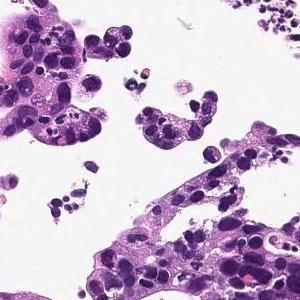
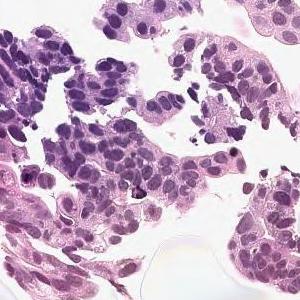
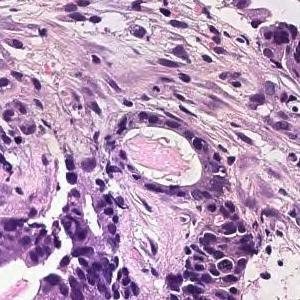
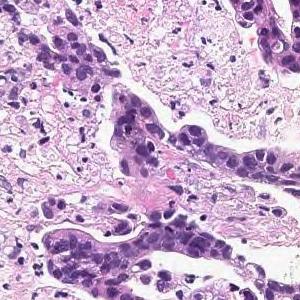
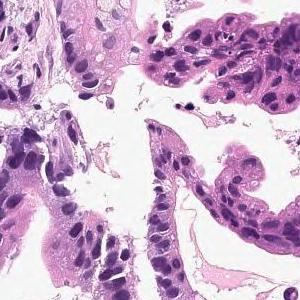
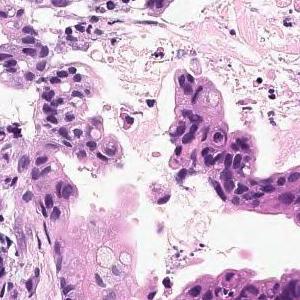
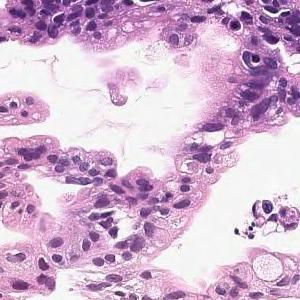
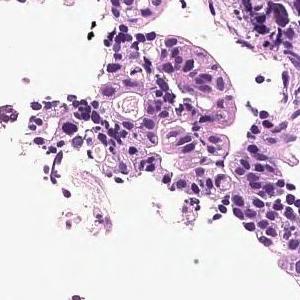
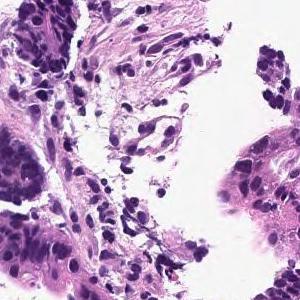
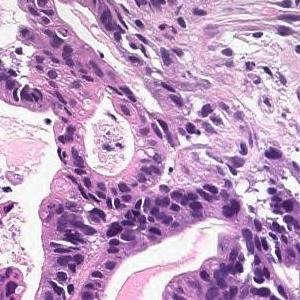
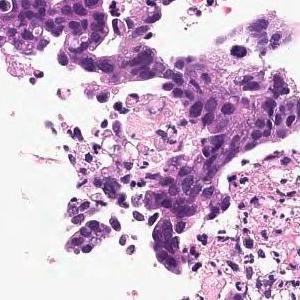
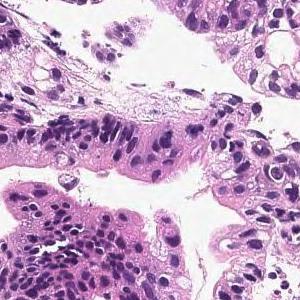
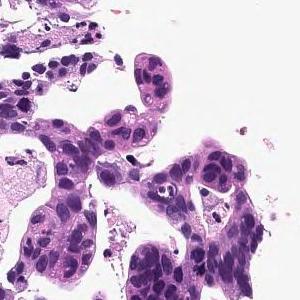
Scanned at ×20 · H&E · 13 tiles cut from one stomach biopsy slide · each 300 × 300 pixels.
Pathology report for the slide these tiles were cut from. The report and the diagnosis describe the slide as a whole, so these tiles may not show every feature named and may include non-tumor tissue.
In the superficial epithelium, tumor tissue that invades by forming medium-sized to small, irregular ducts is observed. moderately differentiated tubular adenocarcinoma.
